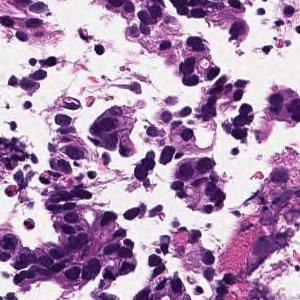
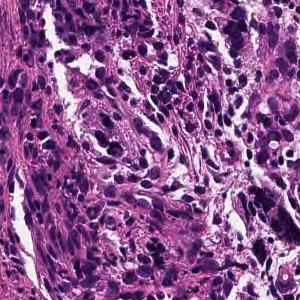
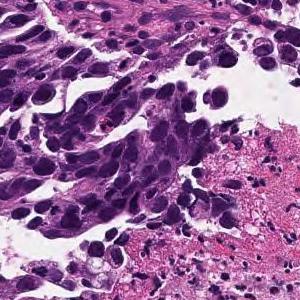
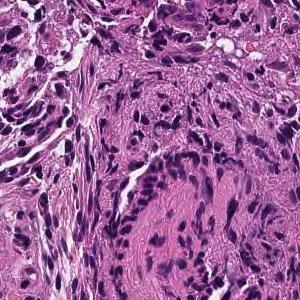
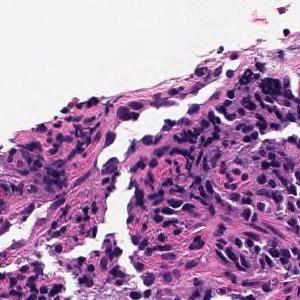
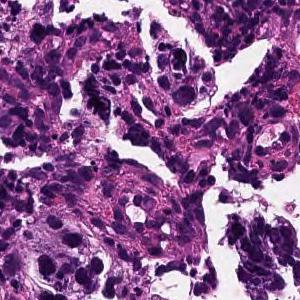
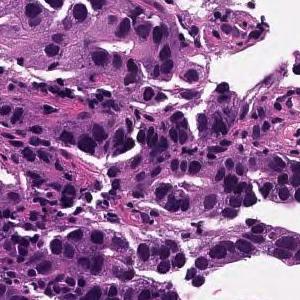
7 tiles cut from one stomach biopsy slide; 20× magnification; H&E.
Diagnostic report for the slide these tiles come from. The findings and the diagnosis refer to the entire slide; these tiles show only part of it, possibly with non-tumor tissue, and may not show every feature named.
On the superficial epithelium, tumor tissue consisting of large irregular glandular ducts partially fused and infiltrated is observed. Well to moderately differentiated tubular adenocarcinoma (well differentiated tubular adenocarcinoma, moderately differentiated tubular adenocarcinoma)
Tumor subtype: well to moderately differentiated tubular adenocarcinoma.
